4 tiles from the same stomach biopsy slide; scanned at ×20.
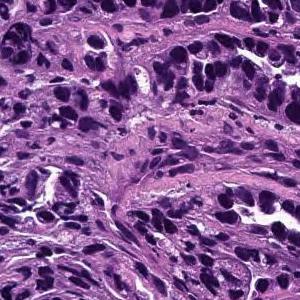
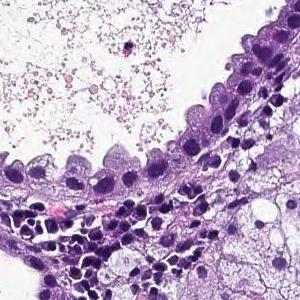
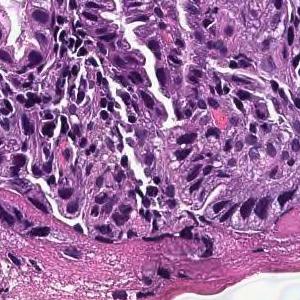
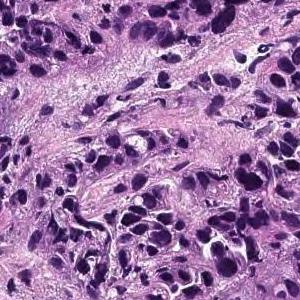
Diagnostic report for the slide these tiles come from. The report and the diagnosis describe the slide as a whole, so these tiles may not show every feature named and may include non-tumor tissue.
Tumor cells are large, highly columnar, large club-shaped nuclei, and are associated with chromatin aggregation. Papillary adenocarcinoma.
